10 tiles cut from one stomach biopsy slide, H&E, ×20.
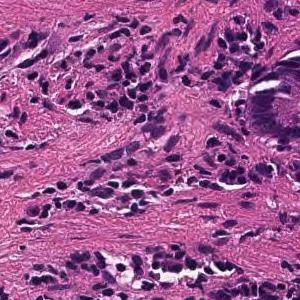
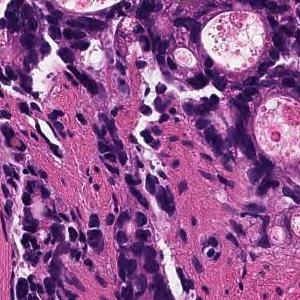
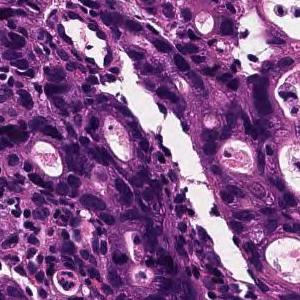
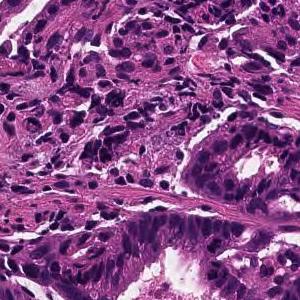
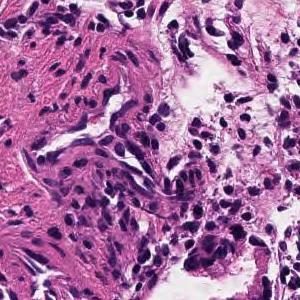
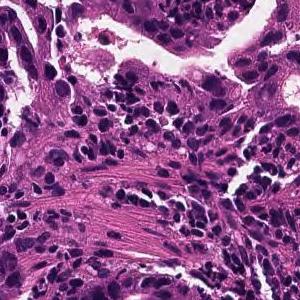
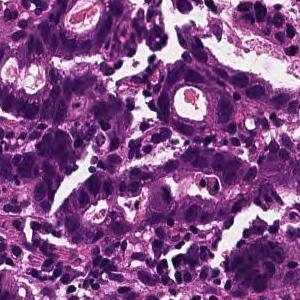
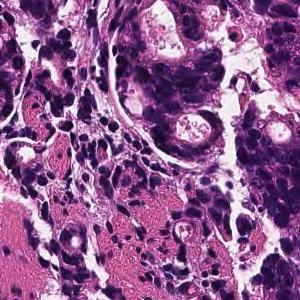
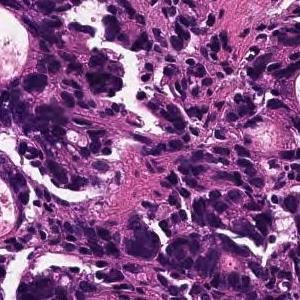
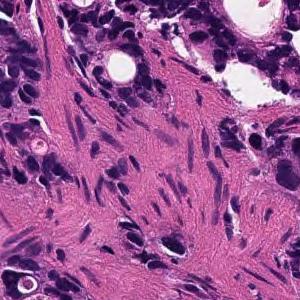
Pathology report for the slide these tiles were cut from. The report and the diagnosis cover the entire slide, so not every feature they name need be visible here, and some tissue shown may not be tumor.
In the superficial epithelium, tumor tissue that invades by forming medium-sized to small, irregular ducts is observed. moderately differentiated tubular adenocarcinoma.
